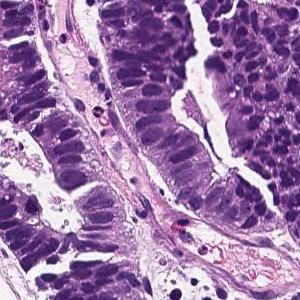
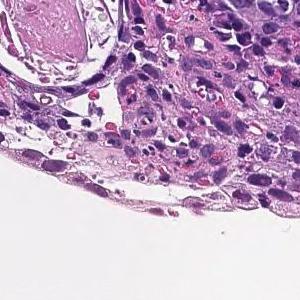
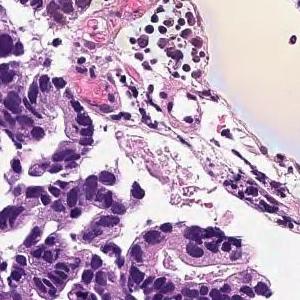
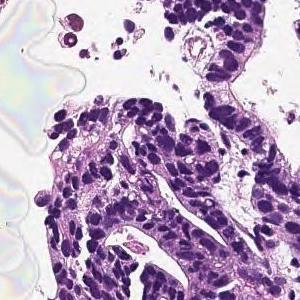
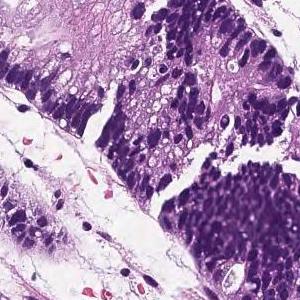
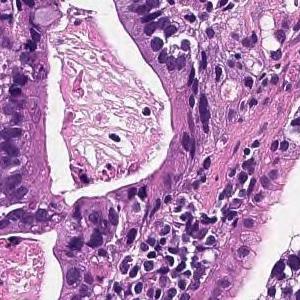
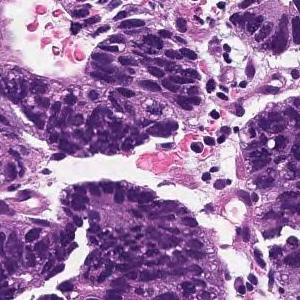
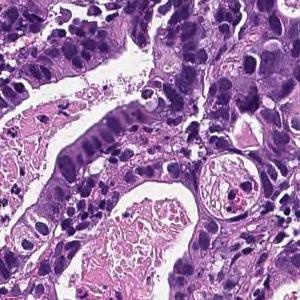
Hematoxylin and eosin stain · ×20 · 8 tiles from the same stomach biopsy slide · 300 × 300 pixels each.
The pathologist's report on the biopsy slide these tiles were taken from. The findings and the diagnosis refer to the entire slide; these tiles show only part of it, possibly with non-tumor tissue, and may not show every feature named.
In the superficial epithelium, tumor tissue that invades by forming medium-sized to small, irregular ducts is observed. moderately differentiated tubular adenocarcinoma.
